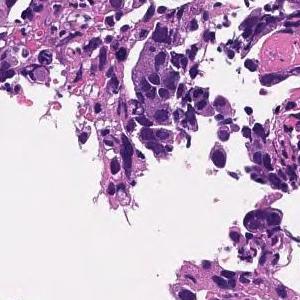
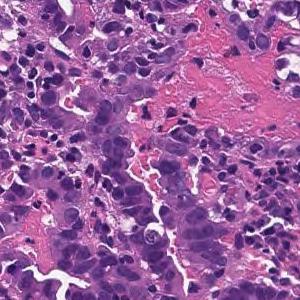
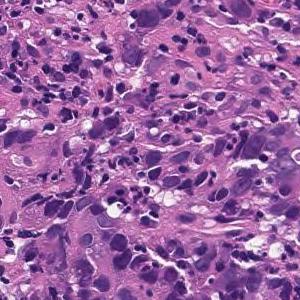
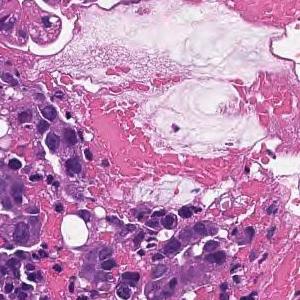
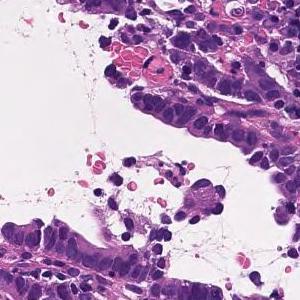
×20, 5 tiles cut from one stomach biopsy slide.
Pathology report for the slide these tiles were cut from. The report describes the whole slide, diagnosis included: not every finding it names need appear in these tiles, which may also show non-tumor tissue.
Tumor tissue consisting of cord-like or small, irregular glandular ducts fused and infiltrated is observed in the superficial epithelium. Poorly differentiated adenocarcinoma, non-solid type
The non-solid type named here is a Japanese Classification of Gastric Carcinoma category.
